12 image tiles from a single gastric biopsy slide; 300 × 300 pixels each; H&E.
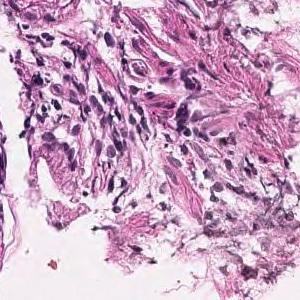
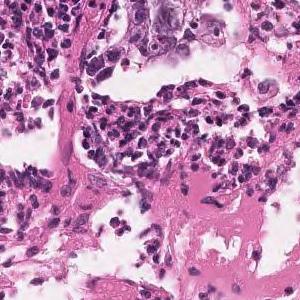
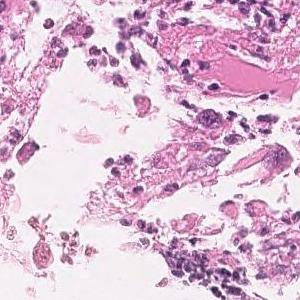
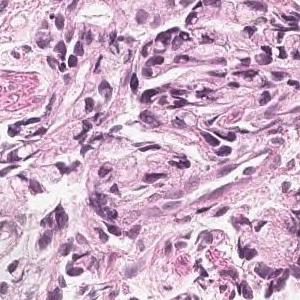
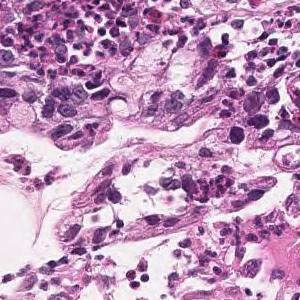
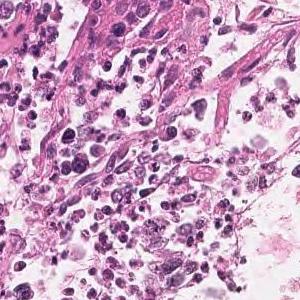
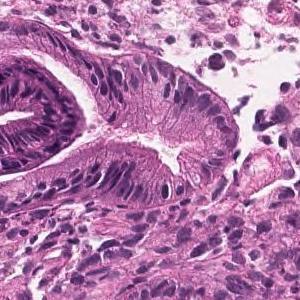
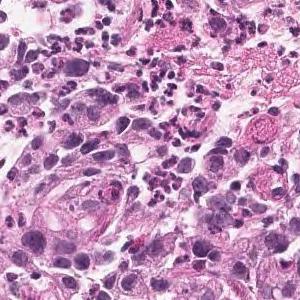
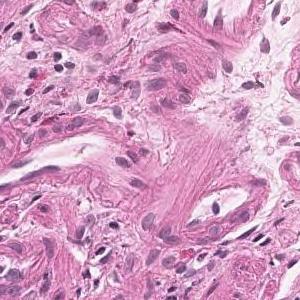
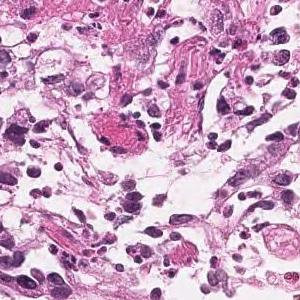
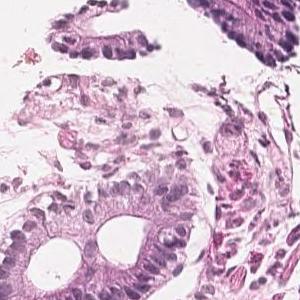
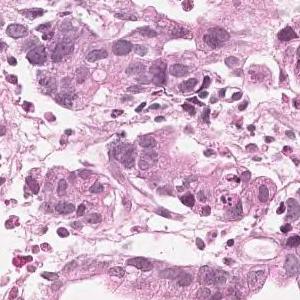
Pathology report for the slide these tiles were cut from. What the report and the diagnosis say applies to the whole slide; these tiles may miss some of the features named and may include tissue that is not tumor.
In the superficial epithelium, medium to small irregular gland ducts are formed, and in some cases, the ducts are fused to show solid alveolar lesions and infiltrating tumor tissue is observed. Moderately to poorly differentiated adenocarcinoma
